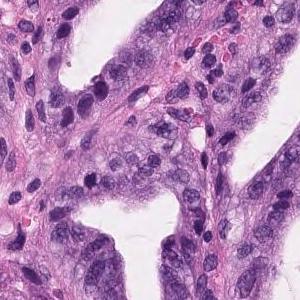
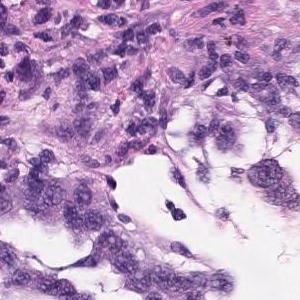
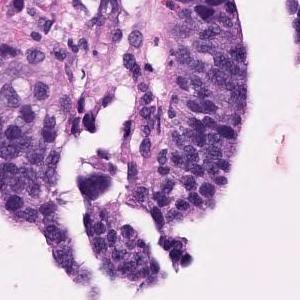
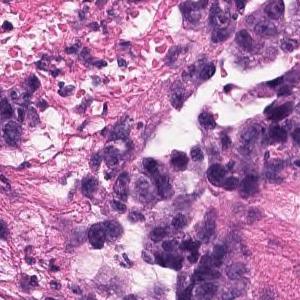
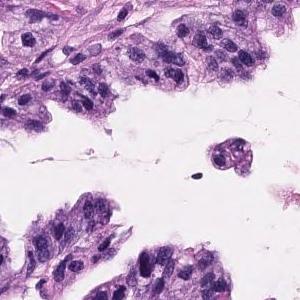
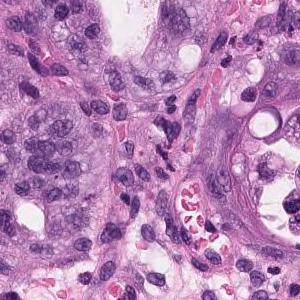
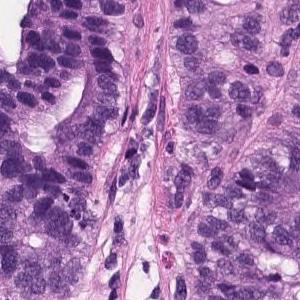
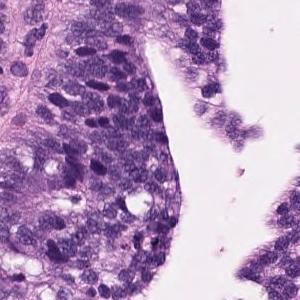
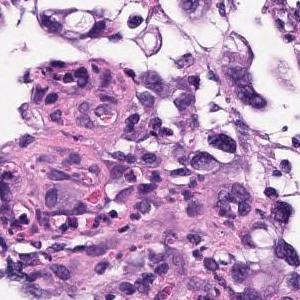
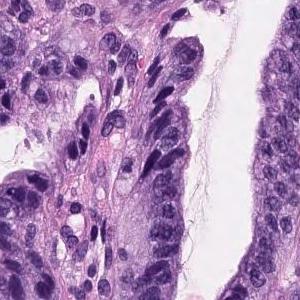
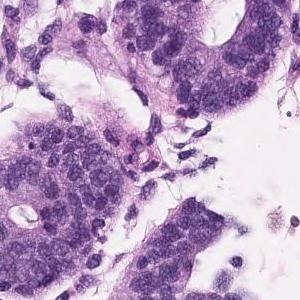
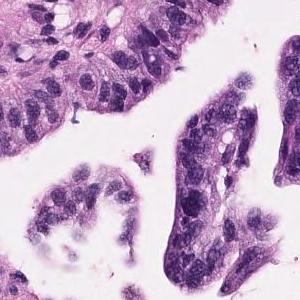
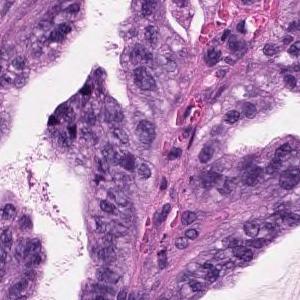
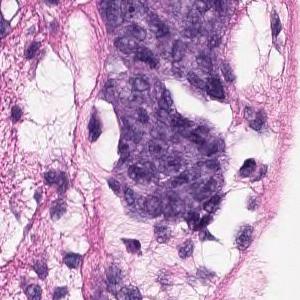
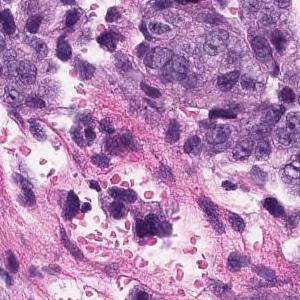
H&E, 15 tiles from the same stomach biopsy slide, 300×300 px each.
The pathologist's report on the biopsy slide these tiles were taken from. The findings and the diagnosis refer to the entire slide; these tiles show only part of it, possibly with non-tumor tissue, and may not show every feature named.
Tumor cells are large, highly columnar, large club-shaped nuclei, and are associated with chromatin aggregation. Papillary adenocarcinoma.
